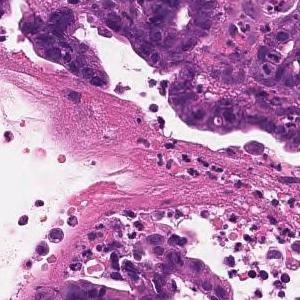
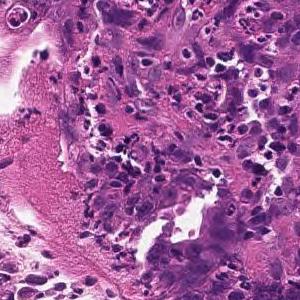
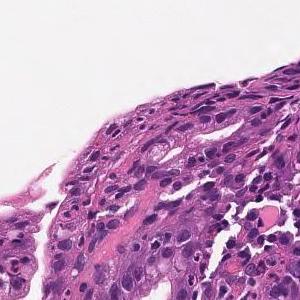
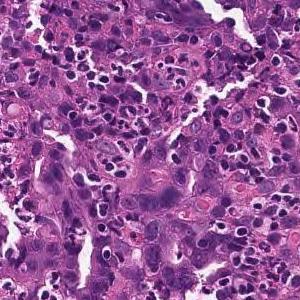
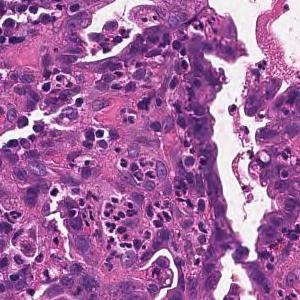
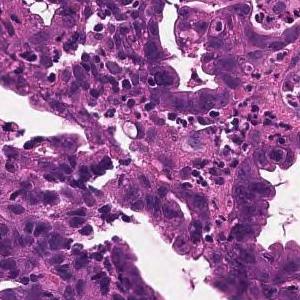
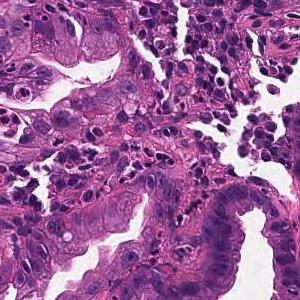
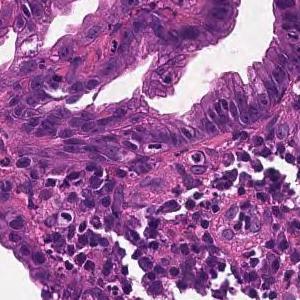
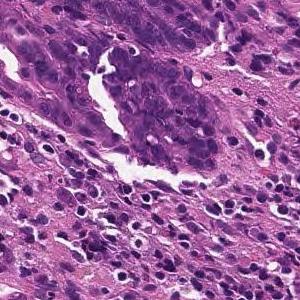
Hematoxylin and eosin stain · 9 patches cut from one gastric biopsy slide · each 300 × 300 pixels.
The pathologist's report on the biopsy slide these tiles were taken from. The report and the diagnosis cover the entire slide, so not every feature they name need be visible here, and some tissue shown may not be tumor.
From the superficial epithelium to the muscularis mucosae, tumor tissue consisting of medium-sized and irregular glandular ducts infiltrating is observed. Well differentiated tubular adenocarcinoma
